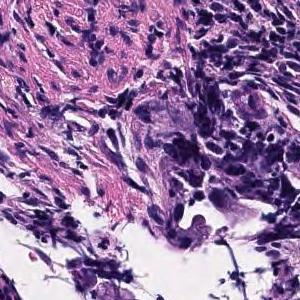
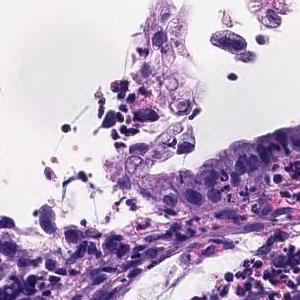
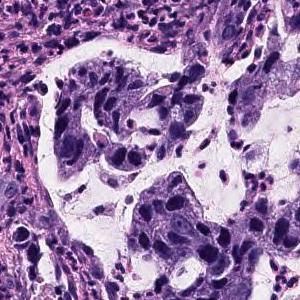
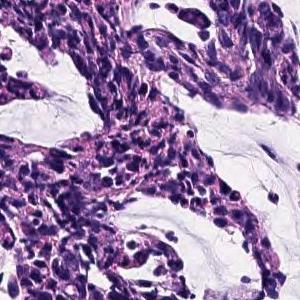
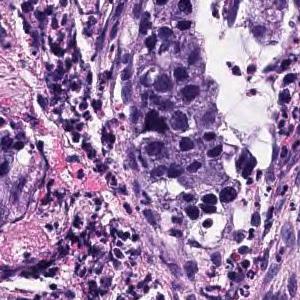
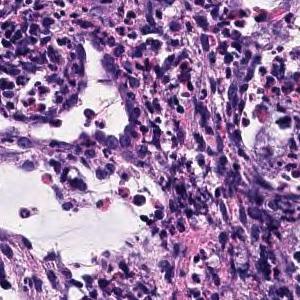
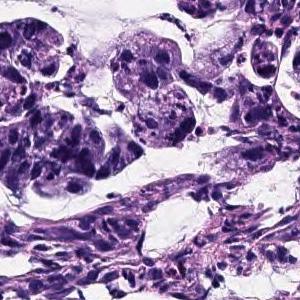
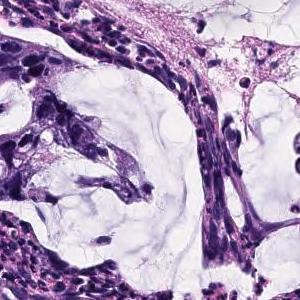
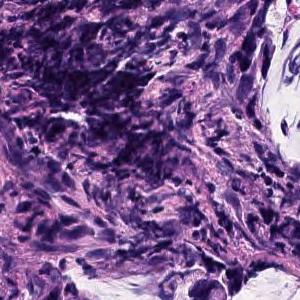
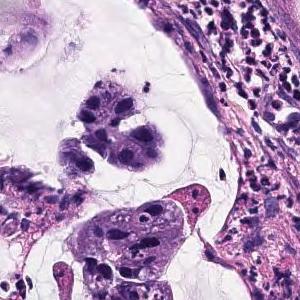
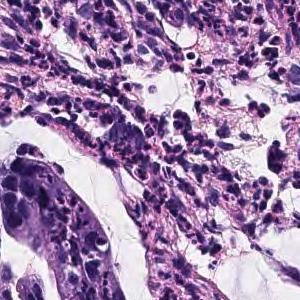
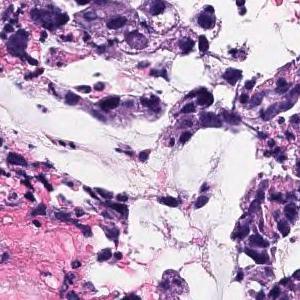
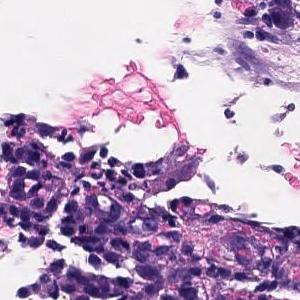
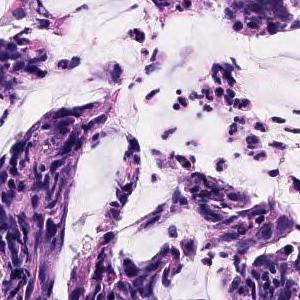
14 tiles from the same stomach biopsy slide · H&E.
Pathology report for the slide these tiles were cut from. What the report and the diagnosis say applies to the whole slide; these tiles may miss some of the features named and may include tissue that is not tumor.
The superficial epithelium shows small cord-like infiltrating tumor tissue. Some part of neoplastic cells are signet ring cell type which show single invasion manner. Poorly differentiated adenocarcinoma, non-solid type.
"Non-solid type" is a category of the Japanese Classification of Gastric Carcinoma.
